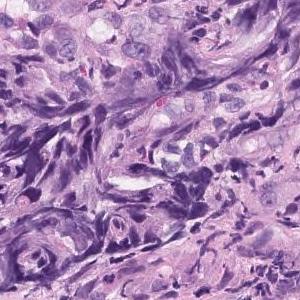
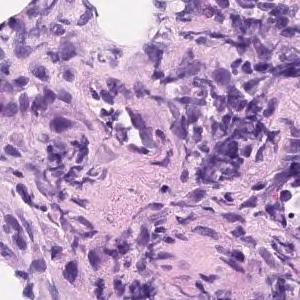
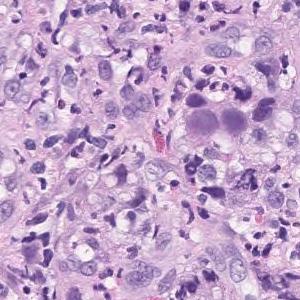
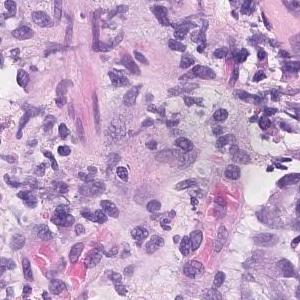
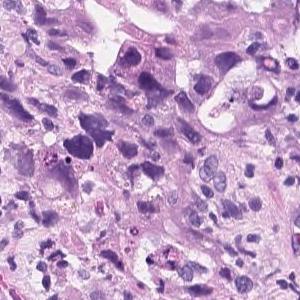
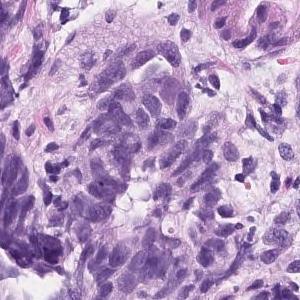
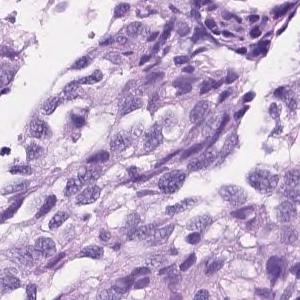
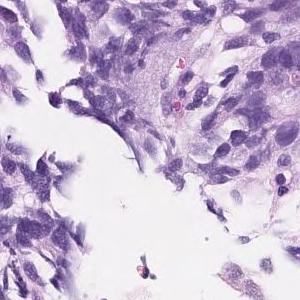
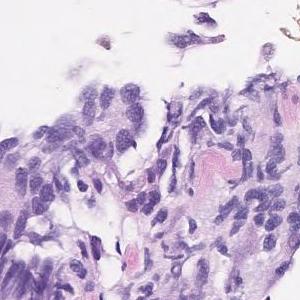
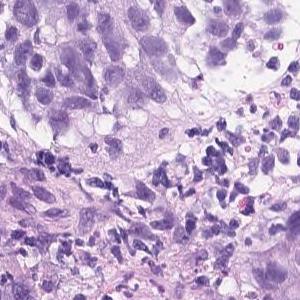
10 tiles from the same stomach biopsy slide; 300 × 300 pixels each; hematoxylin and eosin stain.
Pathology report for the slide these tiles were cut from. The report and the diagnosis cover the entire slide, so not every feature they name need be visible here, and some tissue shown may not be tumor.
Atypical epithelial cells infiltrating and proliferating diffusely or while forming vesicles is observed. Poorly differentiated adenocarcinoma (poorly differentiated adenocarcinoma, solid type moderately differentiated tubular adenocarcinoma)
The dataset labels this slide poorly differentiated adenocarcinoma, solid type, a category of the Japanese Classification of Gastric Carcinoma; in the WHO 2019 classification it is tubular adenocarcinoma, poorly differentiated.
